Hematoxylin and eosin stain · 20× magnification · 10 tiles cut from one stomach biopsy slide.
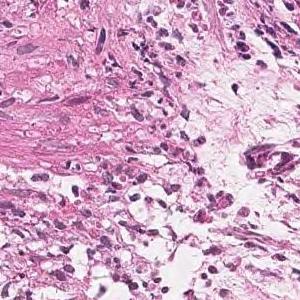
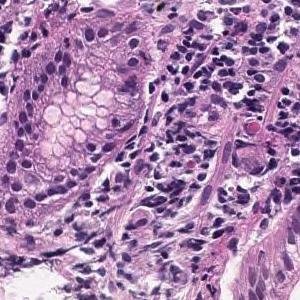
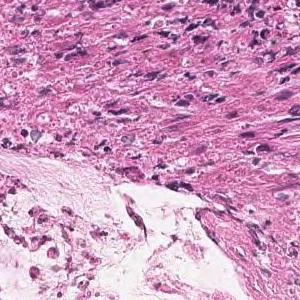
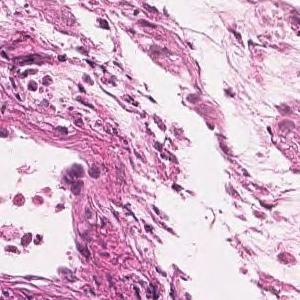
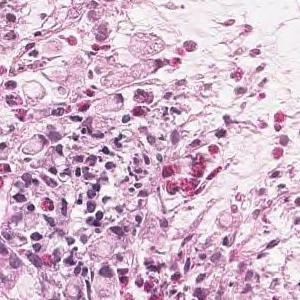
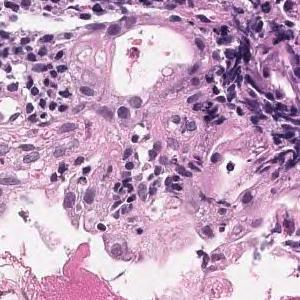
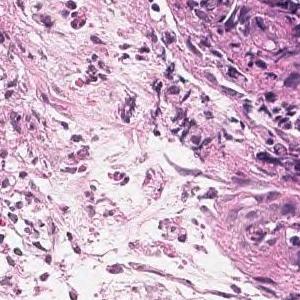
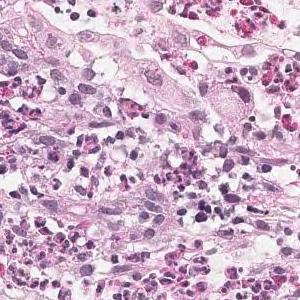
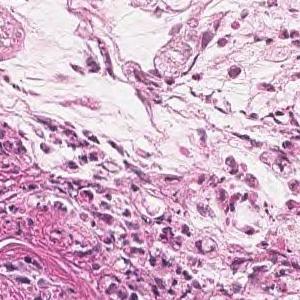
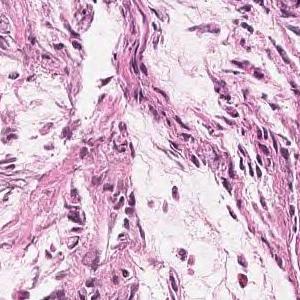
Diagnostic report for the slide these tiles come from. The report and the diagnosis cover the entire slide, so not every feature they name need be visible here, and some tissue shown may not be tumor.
Tumor tissue is observed in which atypical epithelial cells with mucus in the vesicles proliferate while being isolated. Signet ring cell carcinoma
